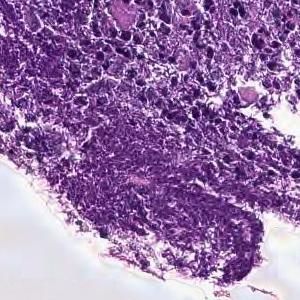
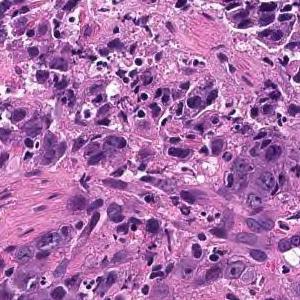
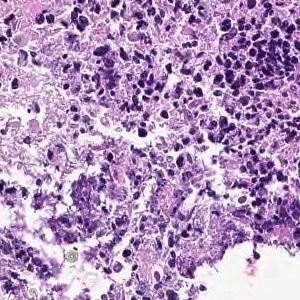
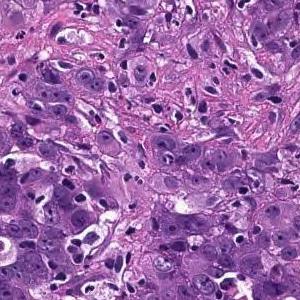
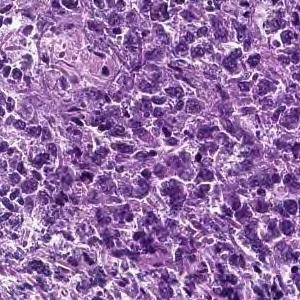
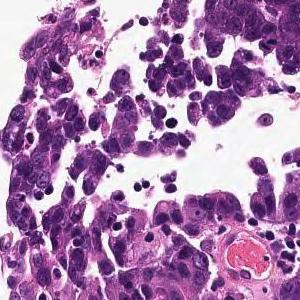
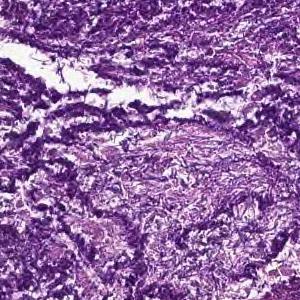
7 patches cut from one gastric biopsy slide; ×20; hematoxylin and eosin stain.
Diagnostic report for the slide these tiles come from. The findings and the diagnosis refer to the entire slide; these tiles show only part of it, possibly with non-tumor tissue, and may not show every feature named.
Cancers with polygonal nuclei do not show glandular formation and are densely, in part, cord-like and proliferate. Poorly differentiated adenocarcinoma
Subtype: Poorly differentiated adenocarcinoma, non-solid type.
The non-solid type named here is a Japanese Classification of Gastric Carcinoma category.
